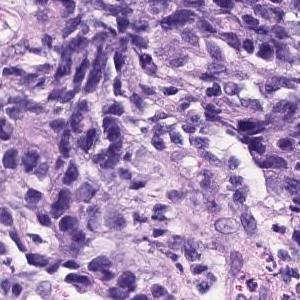
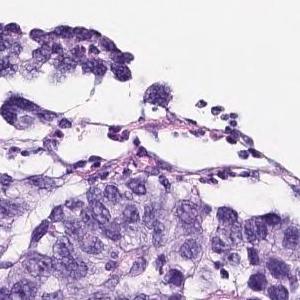
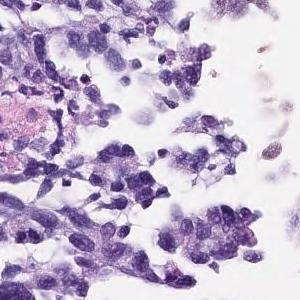
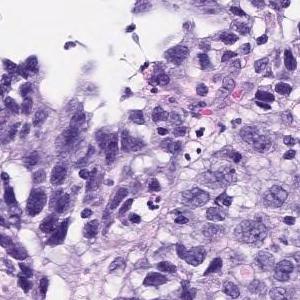
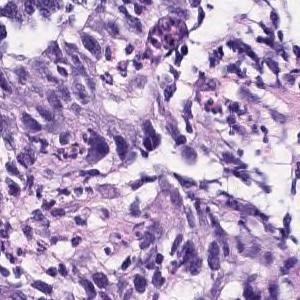
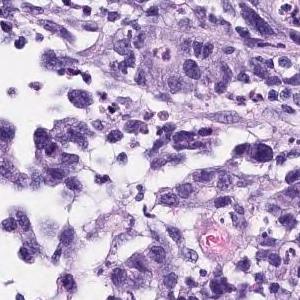
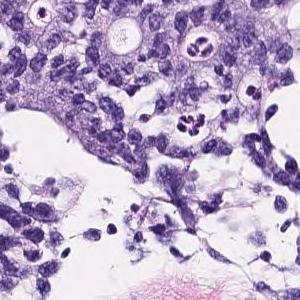
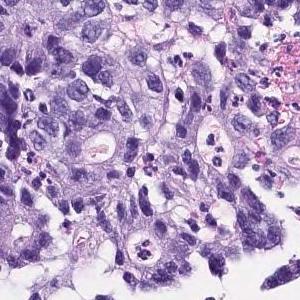
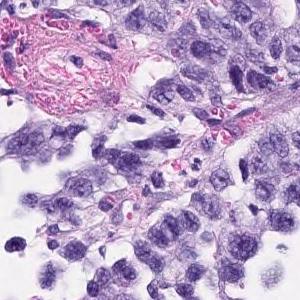
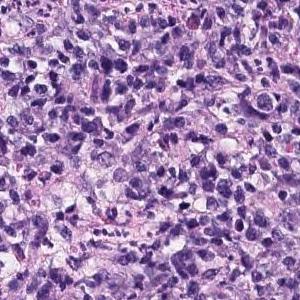
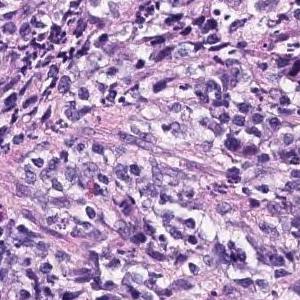
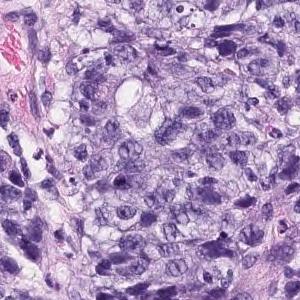
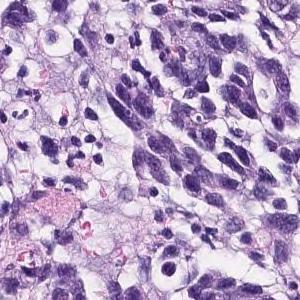
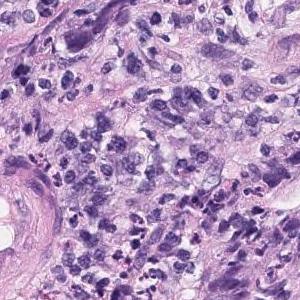
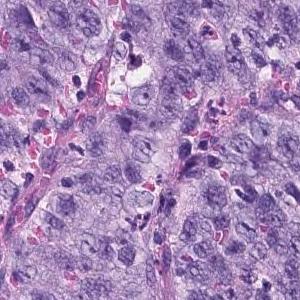
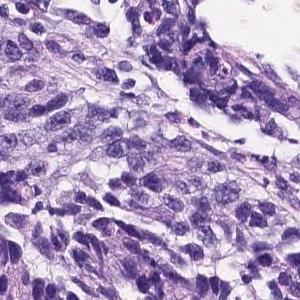
20× magnification · H&E · 16 tiles cut from one stomach biopsy slide.
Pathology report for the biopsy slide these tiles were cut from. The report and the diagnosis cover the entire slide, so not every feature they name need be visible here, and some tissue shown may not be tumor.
The superficial epithelium shows a large sheet-like shape, and some tumor tissue infiltrates with small irregular ducts. Poorly differentiated adenocarcinoma, solid-type
Classified as poorly differentiated adenocarcinoma, solid type (Japanese Classification of Gastric Carcinoma). The WHO 2019 equivalent is tubular adenocarcinoma, poorly differentiated.
